5 tiles cut from one stomach biopsy slide; hematoxylin and eosin stain.
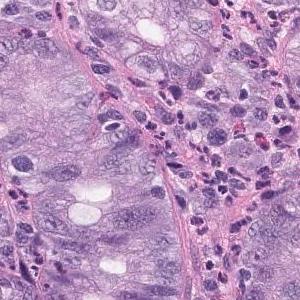
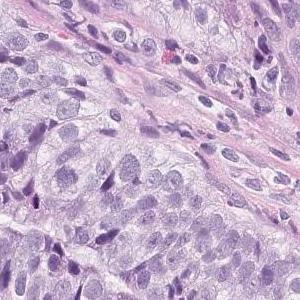
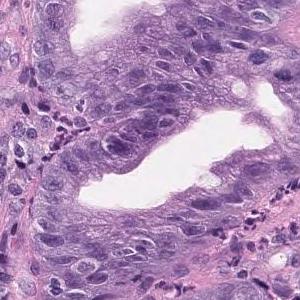
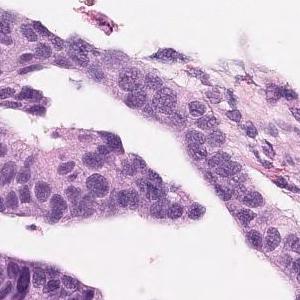
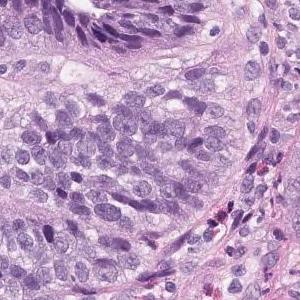
Pathology report for the slide these tiles were cut from. The report and the diagnosis describe the slide as a whole, so these tiles may not show every feature named and may include non-tumor tissue.
Tumor tissue in which highly columnar atypical epithelial cells with nuclear enlargement and increased nuclear chromatin show papillary to papillary ductal structure and proliferate is observed. Papillary adenocarcinoma.
